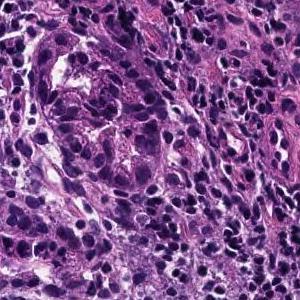
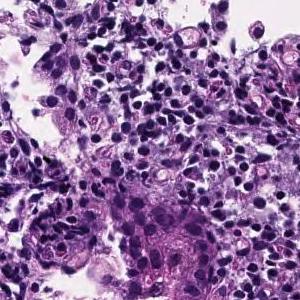
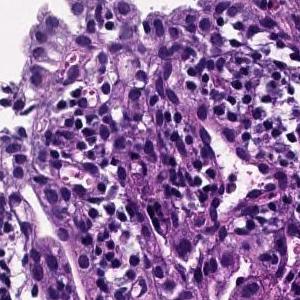
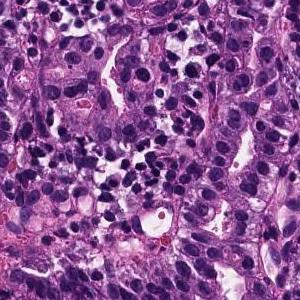
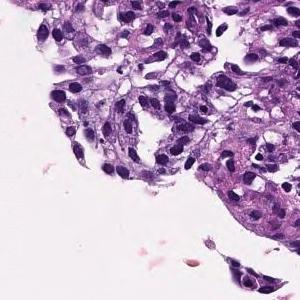
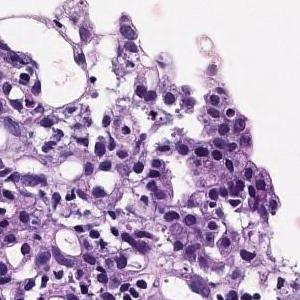
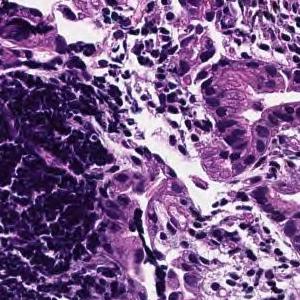
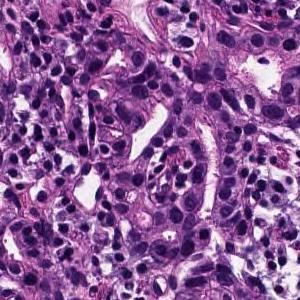
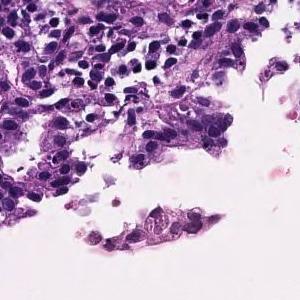
9 image tiles from a single gastric biopsy slide; 300 × 300 pixels each; H&E stain; ×20.
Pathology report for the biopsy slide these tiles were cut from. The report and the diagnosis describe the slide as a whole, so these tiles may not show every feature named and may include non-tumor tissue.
Medium to small, irregular glandular ducts are formed in the superficial epithelium, and in some cases, the glandular ducts are fused to show solid alveolar lesions and infiltrating tumor tissue is observed. Moderately to poorly differentiated adenocarcinoma.
